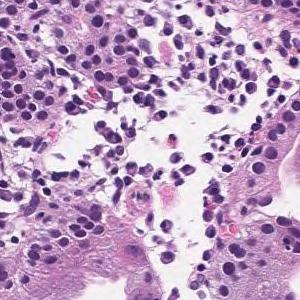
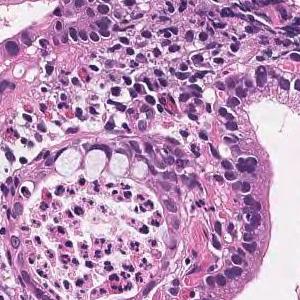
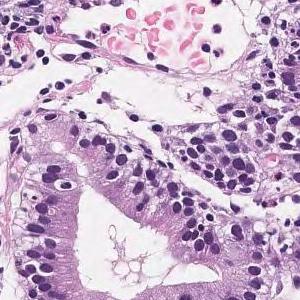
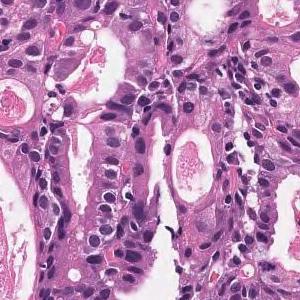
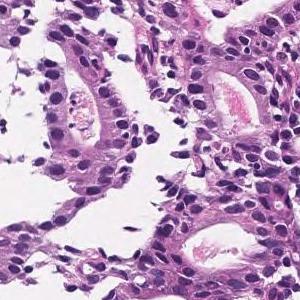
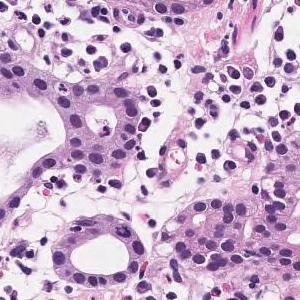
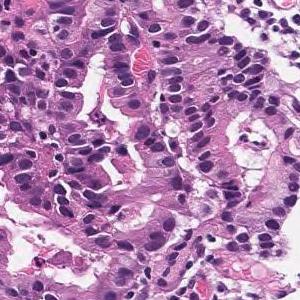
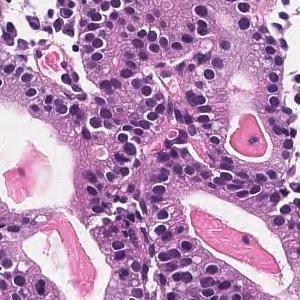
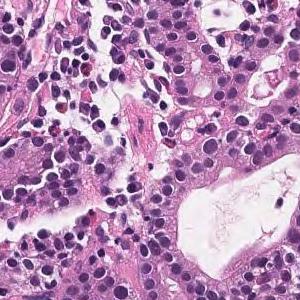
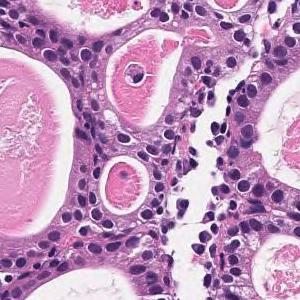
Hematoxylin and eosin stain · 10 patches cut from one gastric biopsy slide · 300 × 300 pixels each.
Pathology report for the biopsy slide these tiles were cut from. The findings and the diagnosis refer to the entire slide; these tiles show only part of it, possibly with non-tumor tissue, and may not show every feature named.
Medium to small, irregular glandular ducts are formed in the superficial epithelium, and in some cases, the glandular ducts are fused to show solid alveolar lesions and infiltrating tumor tissue is observed. Moderately to poorly differentiated adenocarcinoma.
